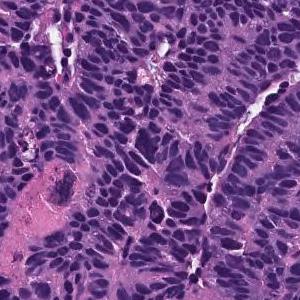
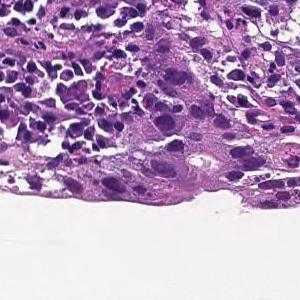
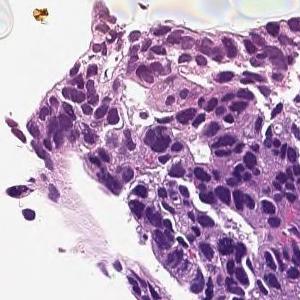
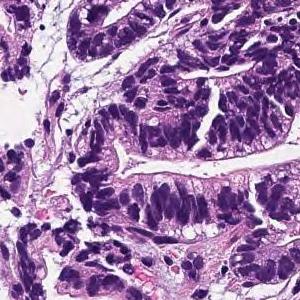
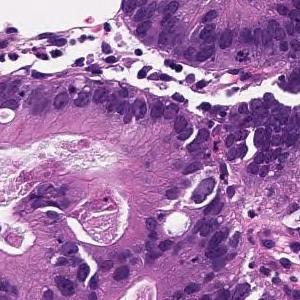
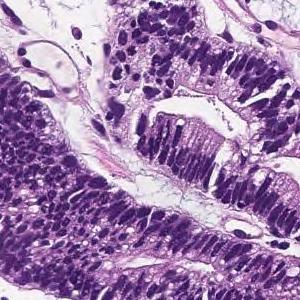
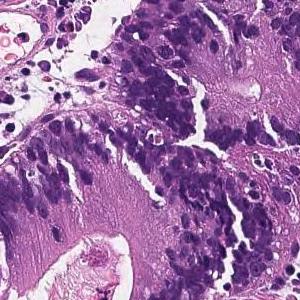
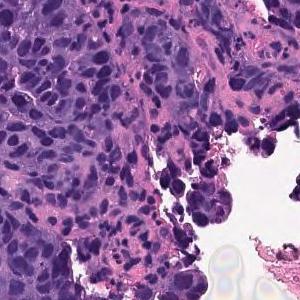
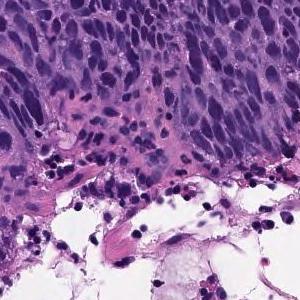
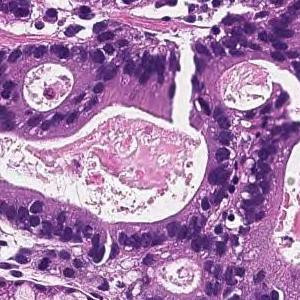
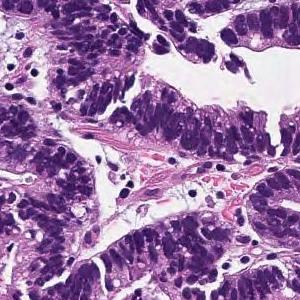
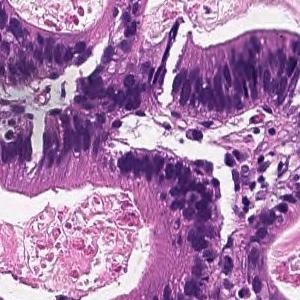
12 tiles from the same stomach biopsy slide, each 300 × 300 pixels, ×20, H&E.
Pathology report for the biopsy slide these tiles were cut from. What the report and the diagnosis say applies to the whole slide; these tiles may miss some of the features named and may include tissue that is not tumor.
In the superficial epithelium, tumor tissue that invades by forming medium-sized to small, irregular ducts is observed. moderately differentiated tubular adenocarcinoma.
